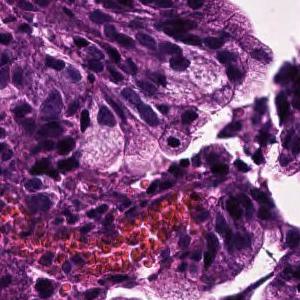
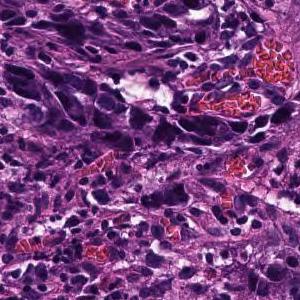
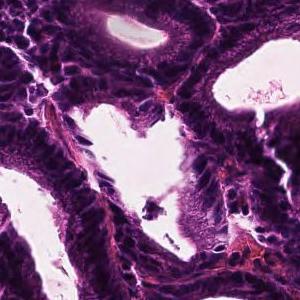
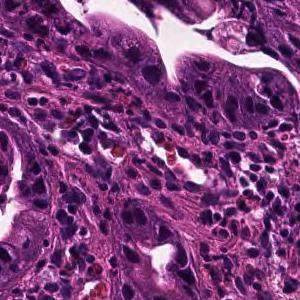
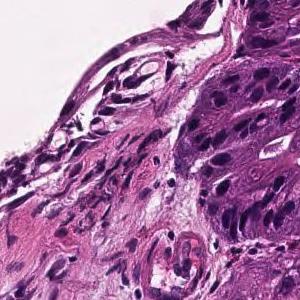
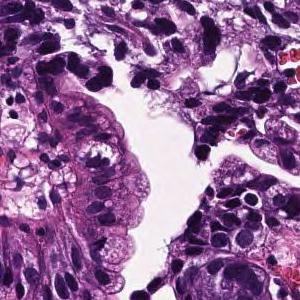
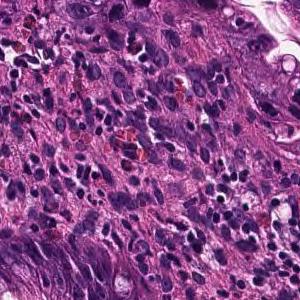
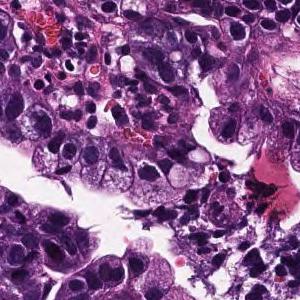
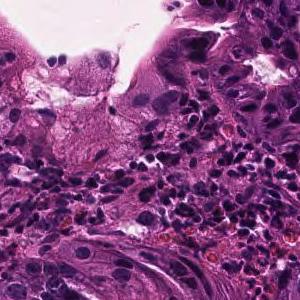
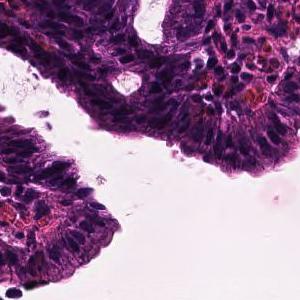
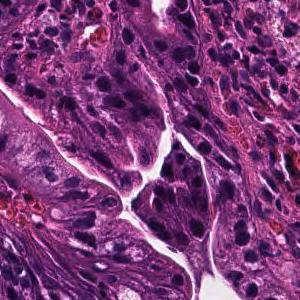
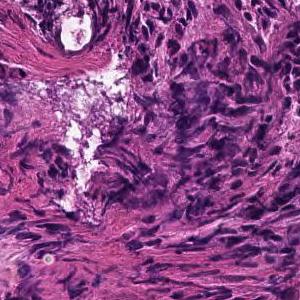
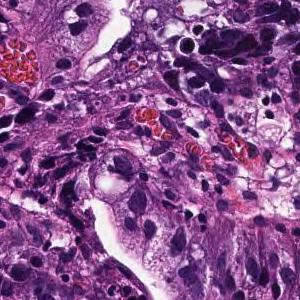
13 tiles cut from one stomach biopsy slide; H&E stain; 20× magnification.
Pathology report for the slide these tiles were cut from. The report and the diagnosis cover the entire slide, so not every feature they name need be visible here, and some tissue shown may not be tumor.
In the superficial epithelium, tumor tissue that invades by forming medium-sized to small, irregular ducts is observed. moderately differentiated tubular adenocarcinoma.
